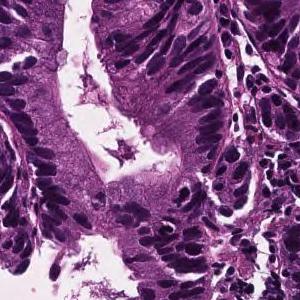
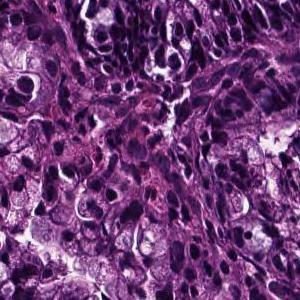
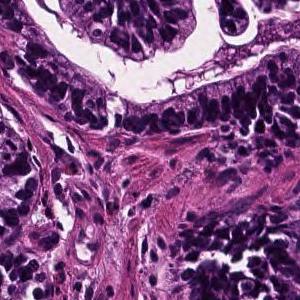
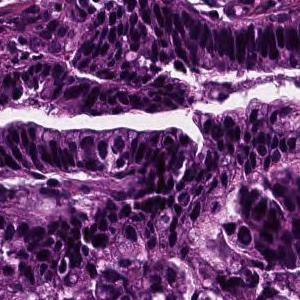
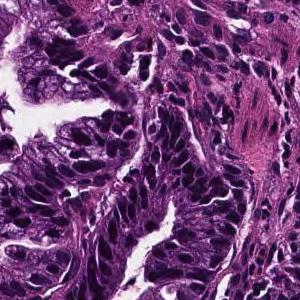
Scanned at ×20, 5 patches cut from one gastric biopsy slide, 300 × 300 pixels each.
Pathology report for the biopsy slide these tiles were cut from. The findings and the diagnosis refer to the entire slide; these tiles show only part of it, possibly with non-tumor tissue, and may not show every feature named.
In the superficial epithelium, tumor tissue that invades by forming medium-sized to small, irregular ducts is observed. Well differentiated tubular adenocarcinoma.
